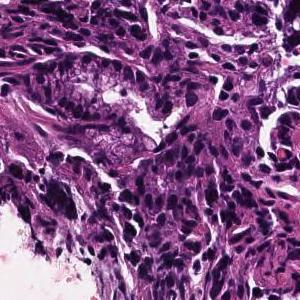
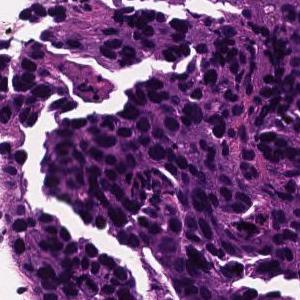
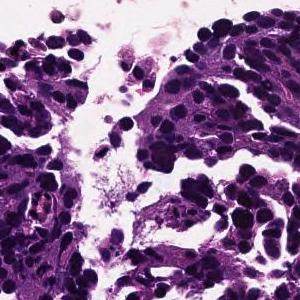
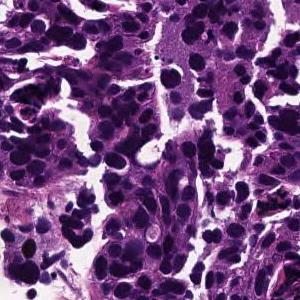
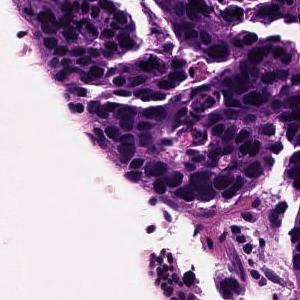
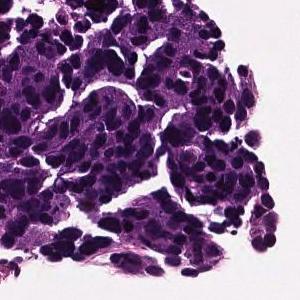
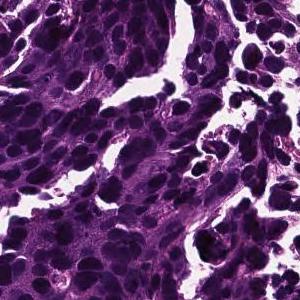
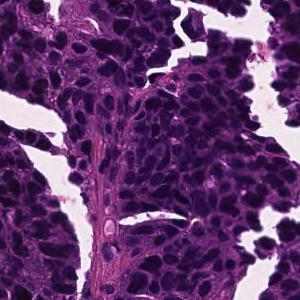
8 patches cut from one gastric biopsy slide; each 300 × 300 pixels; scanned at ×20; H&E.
Report on the slide these tiles come from. The report and the diagnosis describe the slide as a whole, so these tiles may not show every feature named and may include non-tumor tissue.
In the superficial epithelium, medium to small irregular gland ducts are formed, and in some cases, the ducts are fused to show solid alveolar lesions and infiltrating tumor tissue is observed. moderately differentiated tubular adenocarcinoma or poorly differentiated adenocarcinoma, solid-type (poorly differentiated adenocarcinoma, solid type)
The dataset labels this slide poorly differentiated adenocarcinoma, solid type (Japanese Classification of Gastric Carcinoma). The WHO 2019 equivalent is tubular adenocarcinoma, poorly differentiated.
